7 image tiles from a single gastric biopsy slide · H&E.
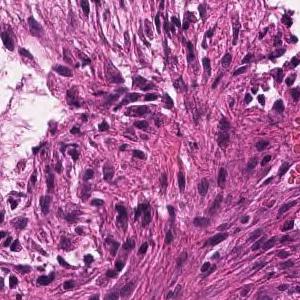
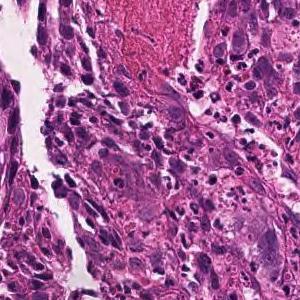
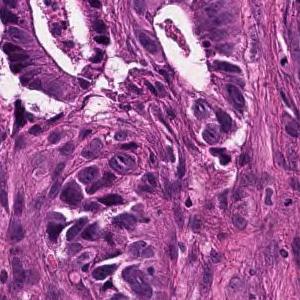
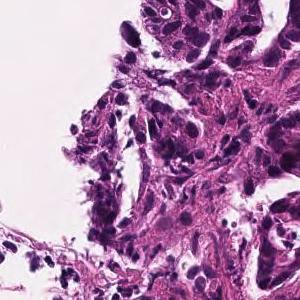
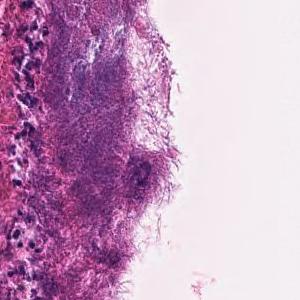
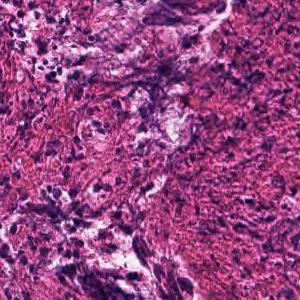
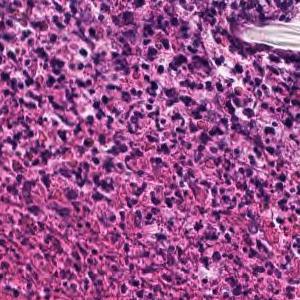
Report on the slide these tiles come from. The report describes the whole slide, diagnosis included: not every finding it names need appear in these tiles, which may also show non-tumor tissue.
In the superficial epithelium, tumor tissue that invades by forming medium-sized to small, irregular ducts is observed. moderately differentiated tubular adenocarcinoma.
